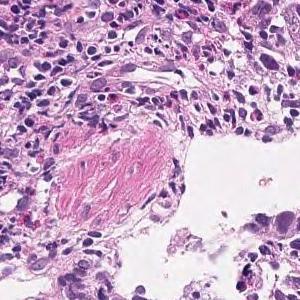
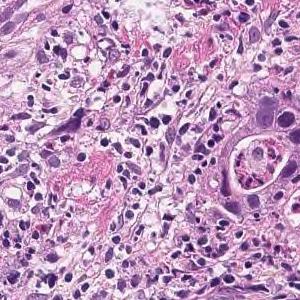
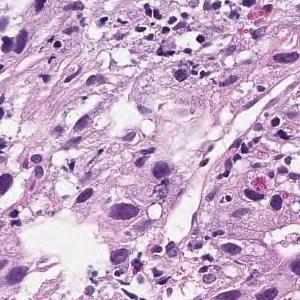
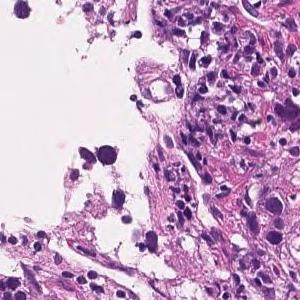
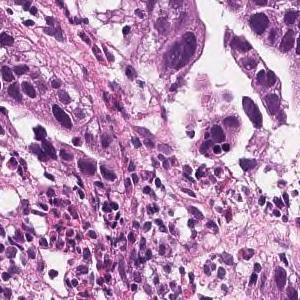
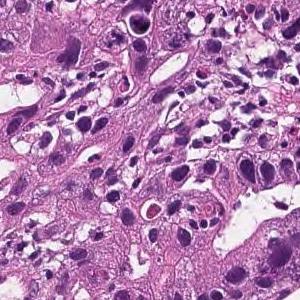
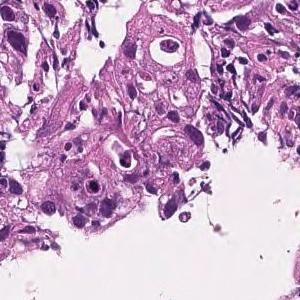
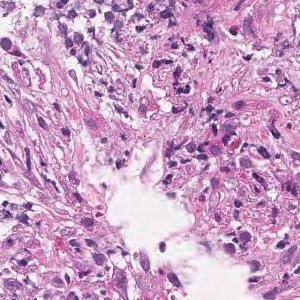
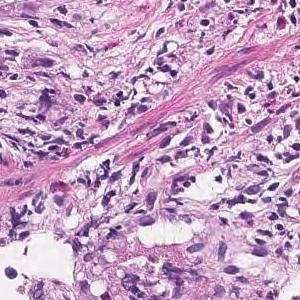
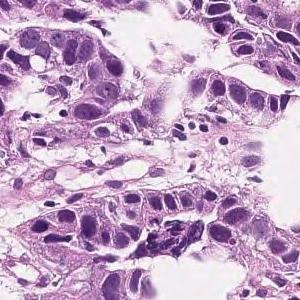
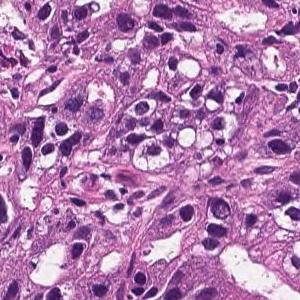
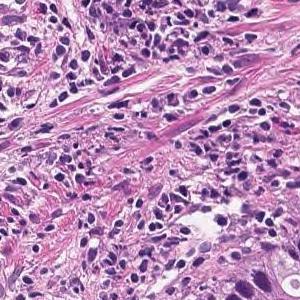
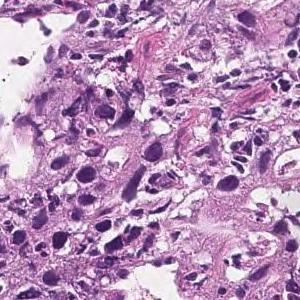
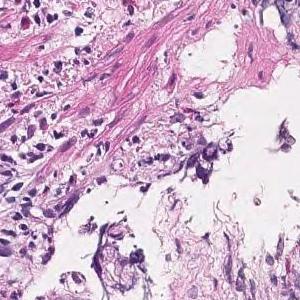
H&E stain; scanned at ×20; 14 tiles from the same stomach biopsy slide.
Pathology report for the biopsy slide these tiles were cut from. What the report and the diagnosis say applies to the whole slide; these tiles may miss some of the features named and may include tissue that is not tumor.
In the superficial epithelium, tumor tissue that invades by forming medium-sized to small, irregular ducts is observed. moderately differentiated tubular adenocarcinoma.
